16 patches cut from one gastric biopsy slide, each 300 × 300 pixels, H&E, 20× magnification.
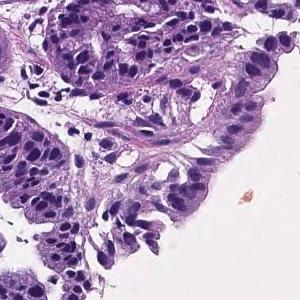
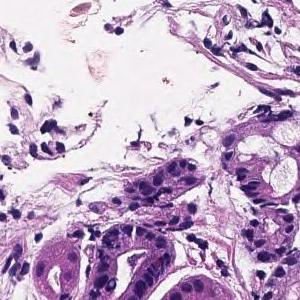
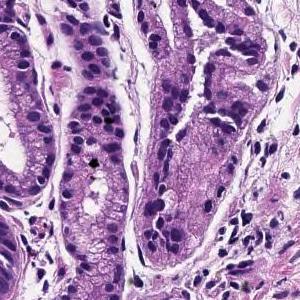
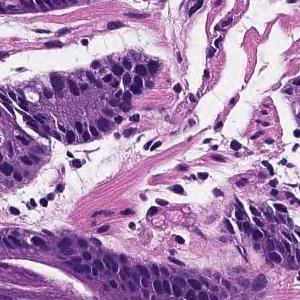
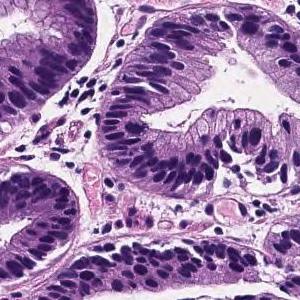
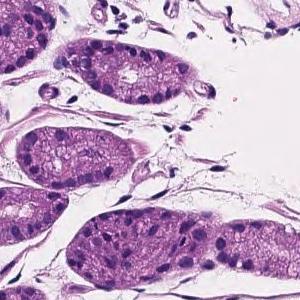
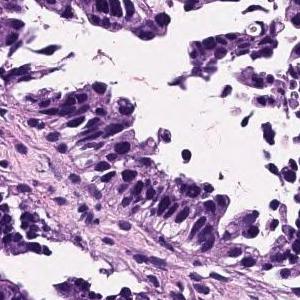
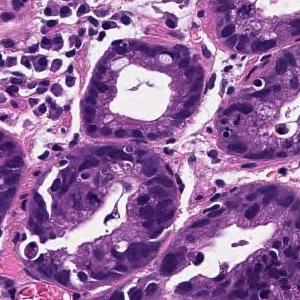
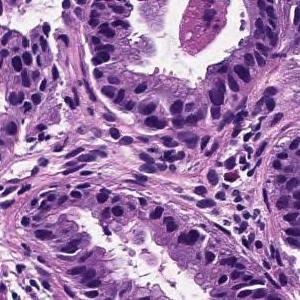
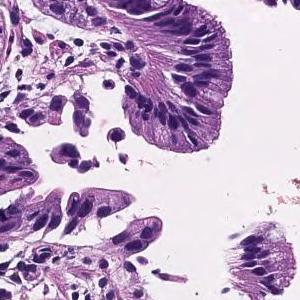
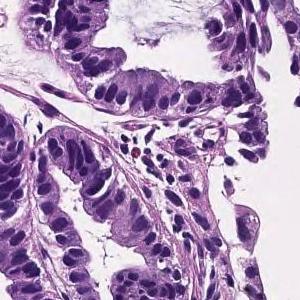
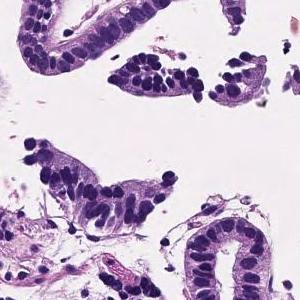
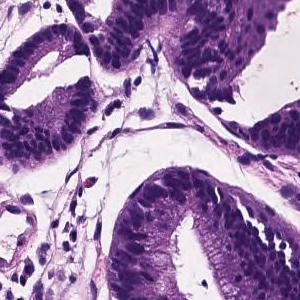
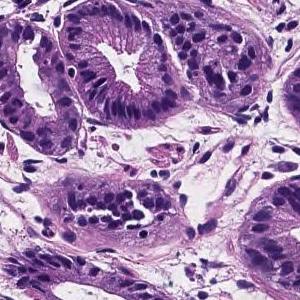
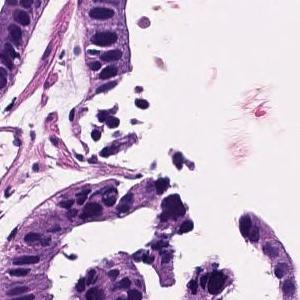
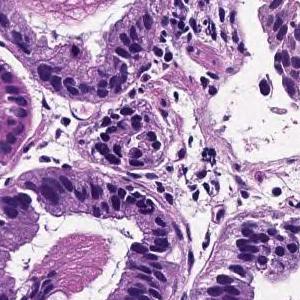
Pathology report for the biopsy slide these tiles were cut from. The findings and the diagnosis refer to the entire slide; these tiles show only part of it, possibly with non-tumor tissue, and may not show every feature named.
Tumor cells are large, highly columnar, large club-shaped nuclei, and are associated with chromatin aggregation. Papillary adenocarcinoma.
